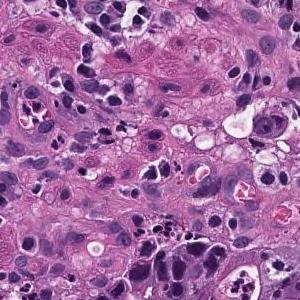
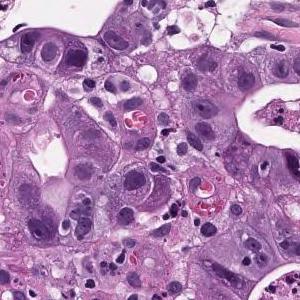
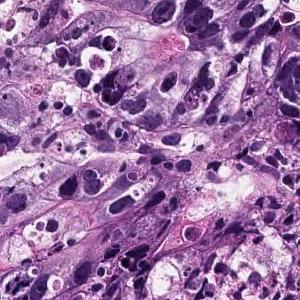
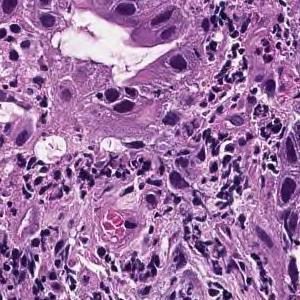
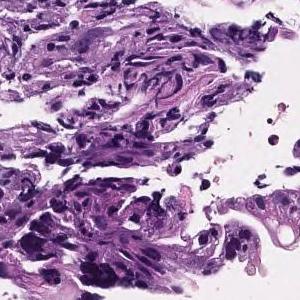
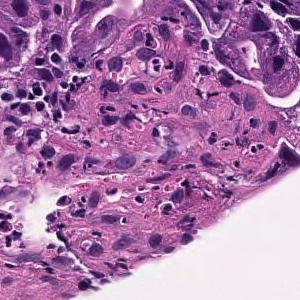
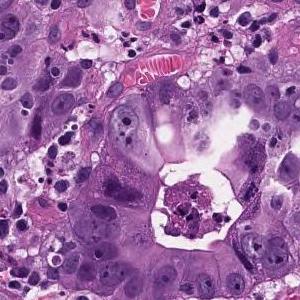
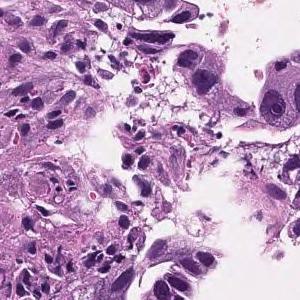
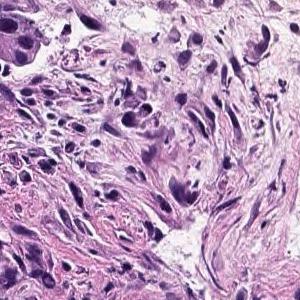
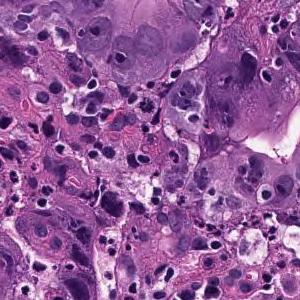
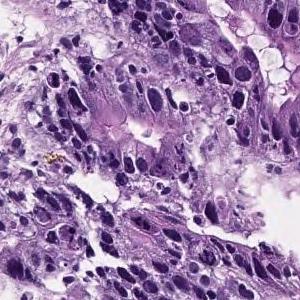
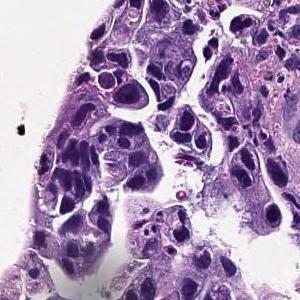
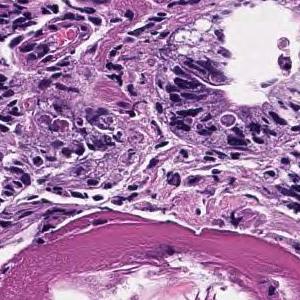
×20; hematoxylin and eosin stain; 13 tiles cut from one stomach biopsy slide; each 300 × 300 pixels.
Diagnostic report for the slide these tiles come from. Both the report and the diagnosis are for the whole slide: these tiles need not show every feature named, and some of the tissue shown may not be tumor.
In the superficial epithelium, medium to small irregular gland ducts are formed, and in some cases, the ducts are fused to show solid alveolar lesions and infiltrating tumor tissue is observed. Moderately to poorly differentiated adenocarcinoma
